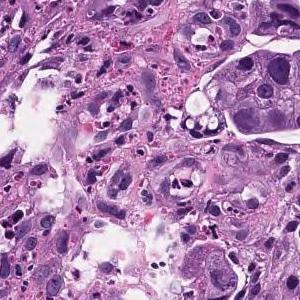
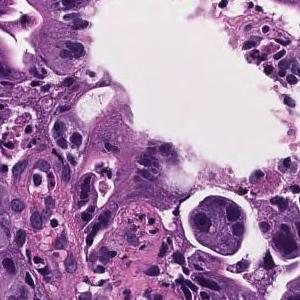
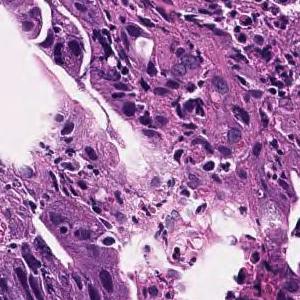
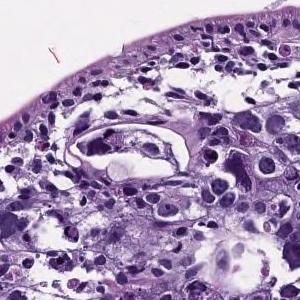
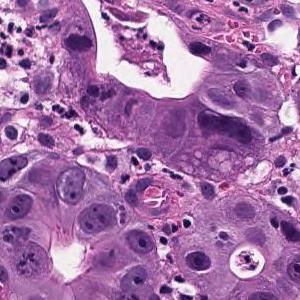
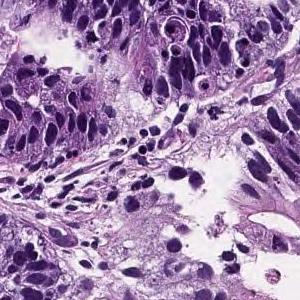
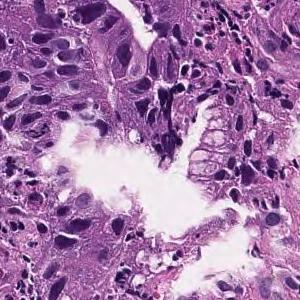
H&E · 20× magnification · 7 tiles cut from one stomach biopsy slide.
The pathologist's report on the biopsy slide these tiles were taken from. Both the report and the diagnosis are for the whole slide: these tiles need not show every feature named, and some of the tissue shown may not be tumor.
In the superficial epithelium, medium to small irregular gland ducts are formed, and in some cases, the ducts are fused to show solid alveolar lesions and infiltrating tumor tissue is observed. Moderately to poorly differentiated adenocarcinoma
